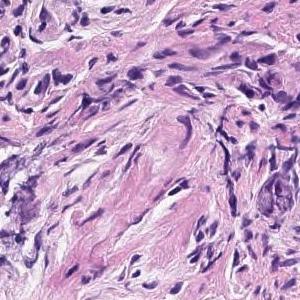
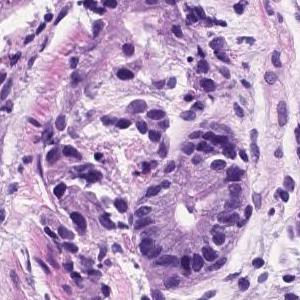
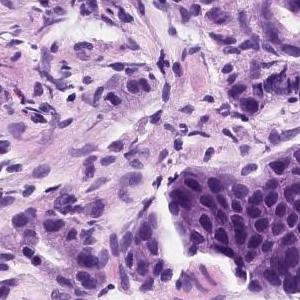
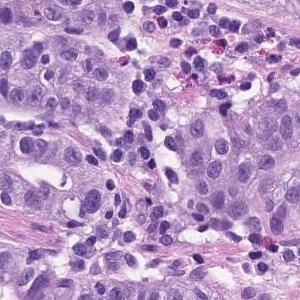
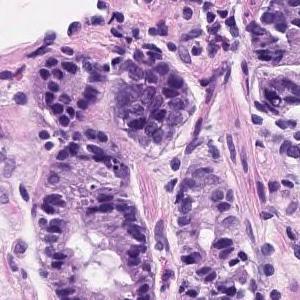
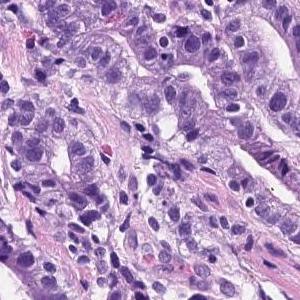
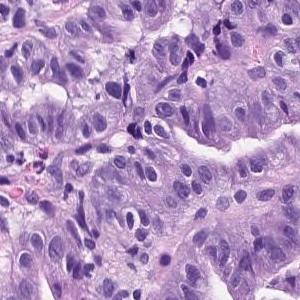
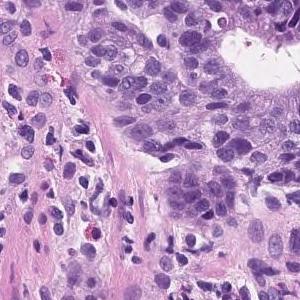
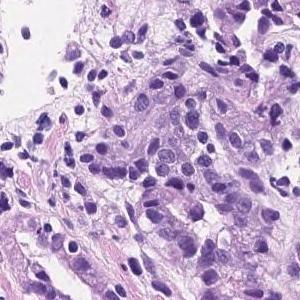
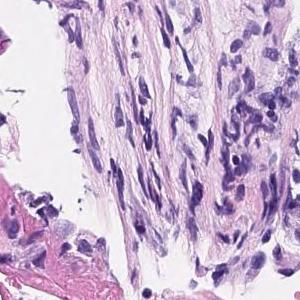
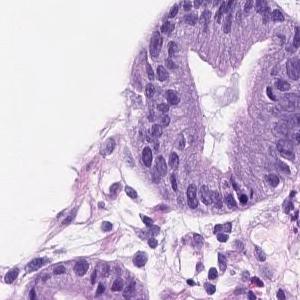
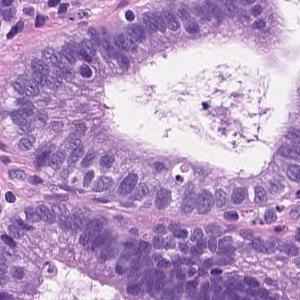
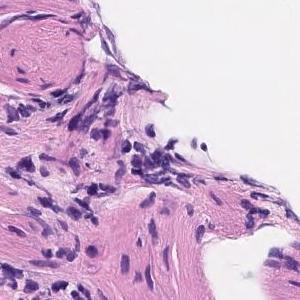
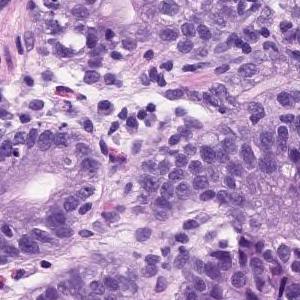
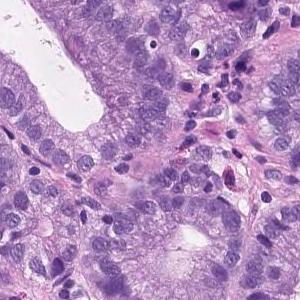
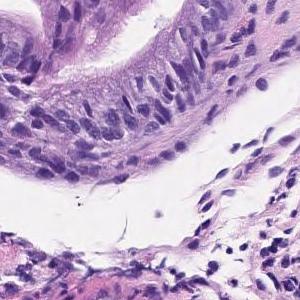
H&E stain, 16 tiles cut from one stomach biopsy slide.
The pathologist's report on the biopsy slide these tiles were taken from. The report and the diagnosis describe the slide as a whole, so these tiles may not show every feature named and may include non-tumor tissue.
Tumor tissue consisting of medium-sized and irregular ducts is observed infiltrating in the superficial epithelium. Tumor cells are highly columnar, with nuclei aligned basolaterally and polarized. Well differentiated tubular adenocarcinoma.
